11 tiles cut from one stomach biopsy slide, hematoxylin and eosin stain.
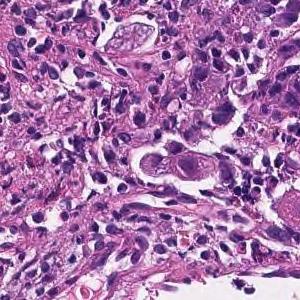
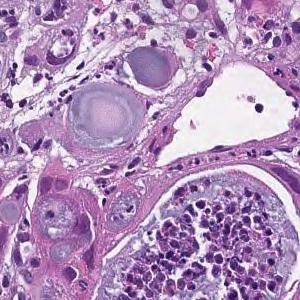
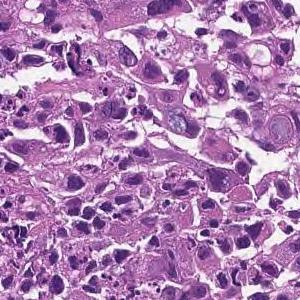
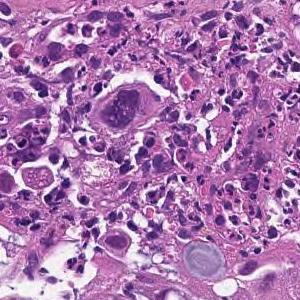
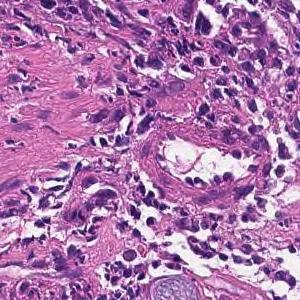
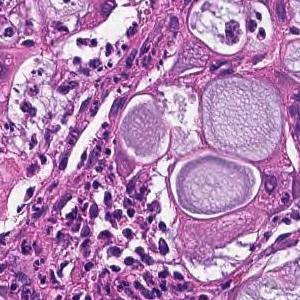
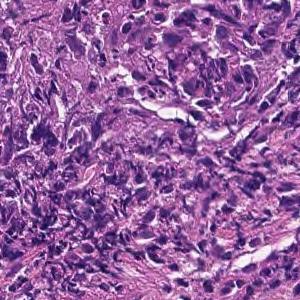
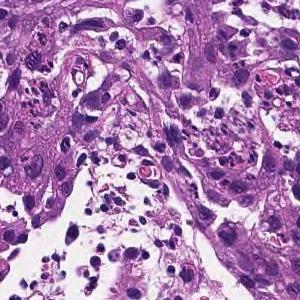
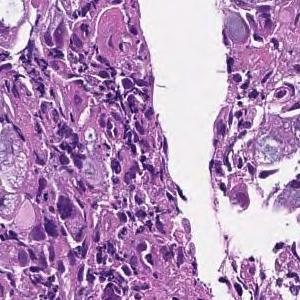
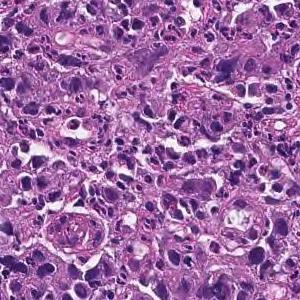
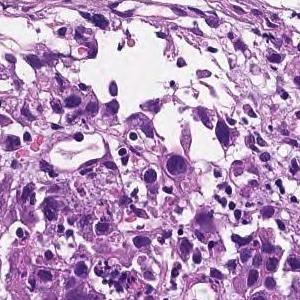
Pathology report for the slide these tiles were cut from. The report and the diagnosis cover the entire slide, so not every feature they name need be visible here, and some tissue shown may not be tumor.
The superficial epithelium shows a large sheet-like shape, and some tumor tissue infiltrates with small irregular ducts. Poorly differentiated adenocarcinoma, solid-type
Classified as poorly differentiated adenocarcinoma, solid type (Japanese Classification of Gastric Carcinoma). The WHO 2019 equivalent is tubular adenocarcinoma, poorly differentiated.
